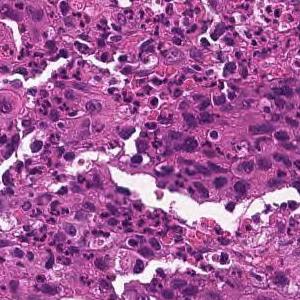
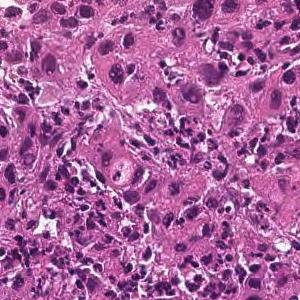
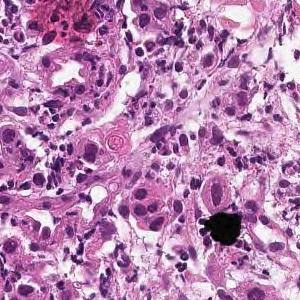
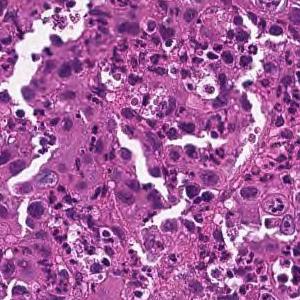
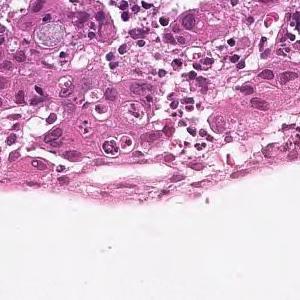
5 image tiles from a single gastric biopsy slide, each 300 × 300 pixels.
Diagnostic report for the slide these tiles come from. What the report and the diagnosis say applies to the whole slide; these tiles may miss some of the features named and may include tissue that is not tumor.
The superficial epithelium shows a large sheet-like shape, and some tumor tissue infiltrates with small irregular ducts. Poorly differentiated adenocarcinoma, solid-type
Tumor subtype: poorly differentiated adenocarcinoma, solid type (Japanese Classification of Gastric Carcinoma). The WHO 2019 equivalent is tubular adenocarcinoma, poorly differentiated.
